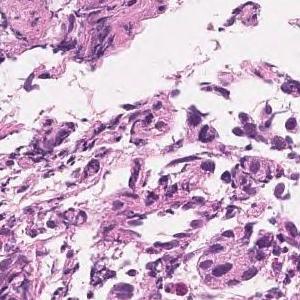
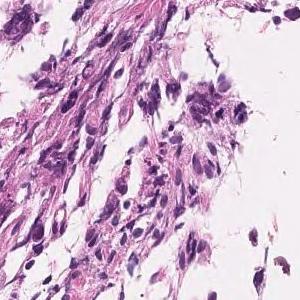
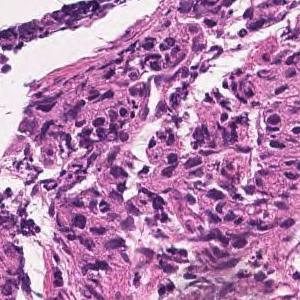
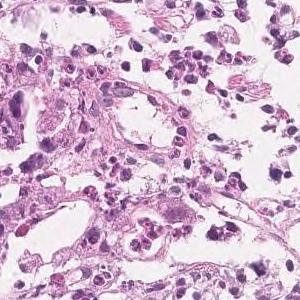
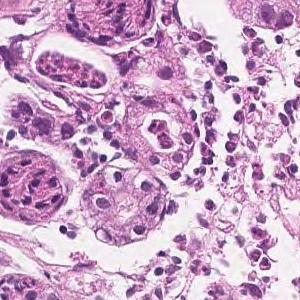
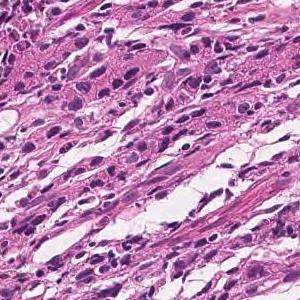
6 tiles from the same stomach biopsy slide, 300 × 300 pixels each, H&E, scanned at ×20.
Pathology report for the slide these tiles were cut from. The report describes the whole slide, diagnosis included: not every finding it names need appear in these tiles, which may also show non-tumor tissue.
In the superficial epithelium, medium to small, irregular glandular ducts are formed, and in some parts, the glandular ducts are fused, and in other parts, small cord-like infiltrating tumor tissue is observed. Moderately to poorly differentiated adenocarcinoma.
